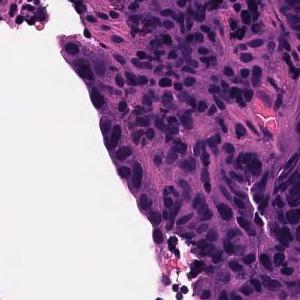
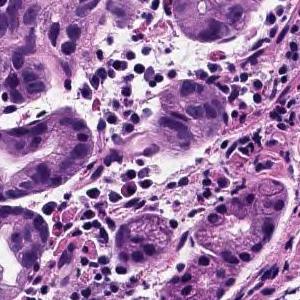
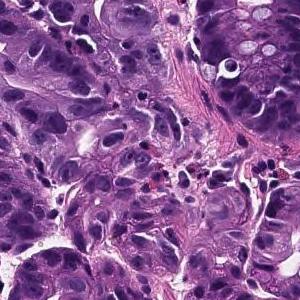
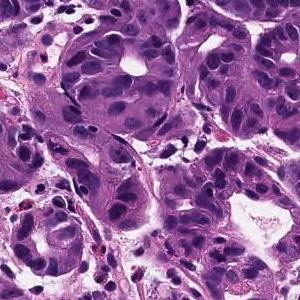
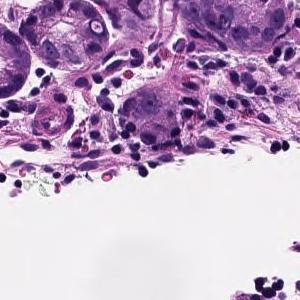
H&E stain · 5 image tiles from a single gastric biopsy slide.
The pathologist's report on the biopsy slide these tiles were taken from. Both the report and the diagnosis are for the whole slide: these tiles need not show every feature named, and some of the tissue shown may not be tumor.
On the superficial epithelium, tumor tissue consisting of large irregular glandular ducts partially fused and infiltrated is observed. Well to moderately differentiated tubular adenocarcinoma (well differentiated tubular adenocarcinoma, moderately differentiated tubular adenocarcinoma)
Histological subtype: Well to moderately differentiated tubular adenocarcinoma.
